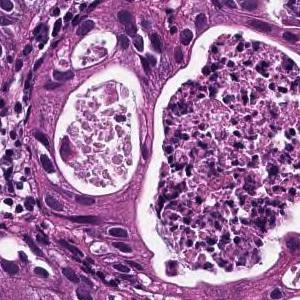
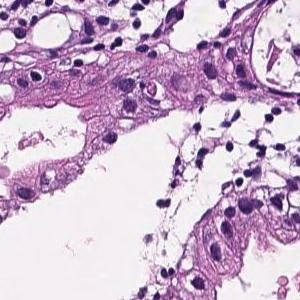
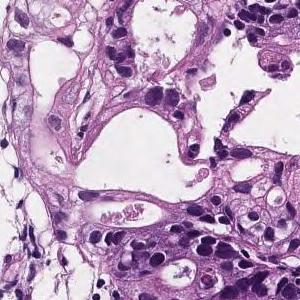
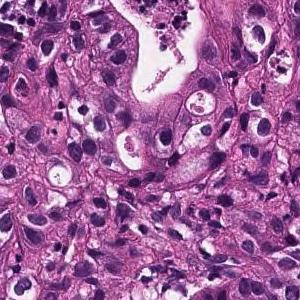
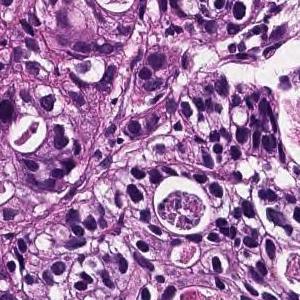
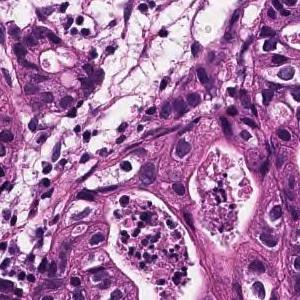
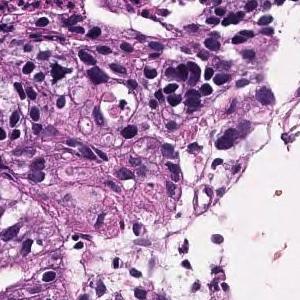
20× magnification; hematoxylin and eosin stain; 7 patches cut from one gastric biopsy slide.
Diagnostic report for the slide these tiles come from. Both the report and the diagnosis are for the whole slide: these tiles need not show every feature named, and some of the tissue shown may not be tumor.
From the superficial epithelium to the muscularis mucosae, tumor tissue infiltrating by forming medium-sized irregular gland ducts is observed. Large tumor cells exhibit large nucleus and hyperchromatism. Well differentiated tubular adenocarcinoma
